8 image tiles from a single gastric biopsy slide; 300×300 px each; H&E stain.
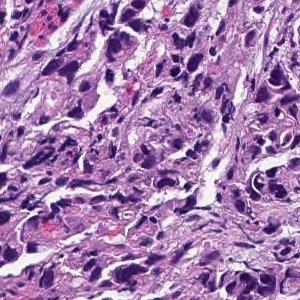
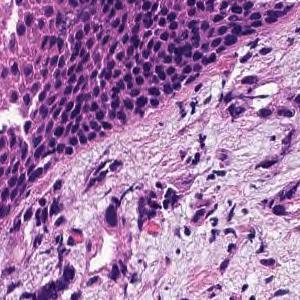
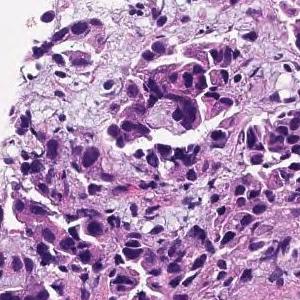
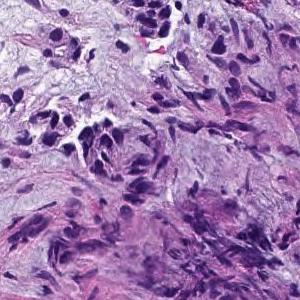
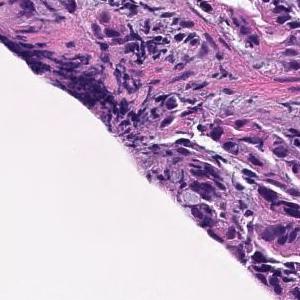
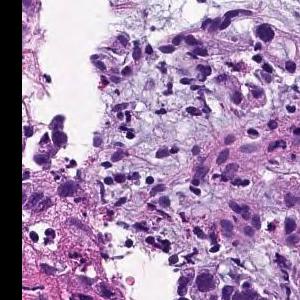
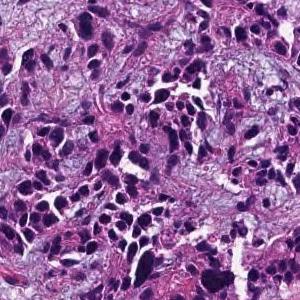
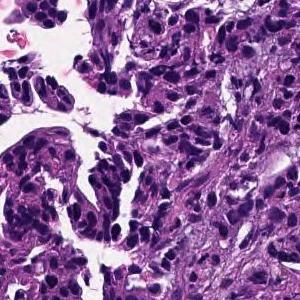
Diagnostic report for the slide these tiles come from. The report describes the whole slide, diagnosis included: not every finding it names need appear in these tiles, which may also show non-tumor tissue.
Tumor tissue consisting of cord-like or small, irregular glandular ducts fused and infiltrated is observed in the superficial epithelium. Poorly differentiated adenocarcinoma, non-solid type
The non-solid type named here is a Japanese Classification of Gastric Carcinoma category.
